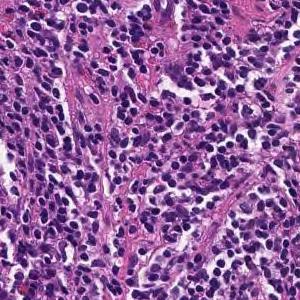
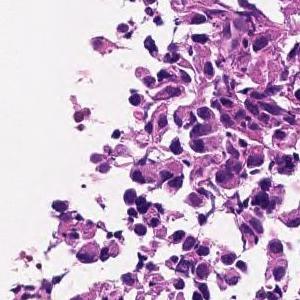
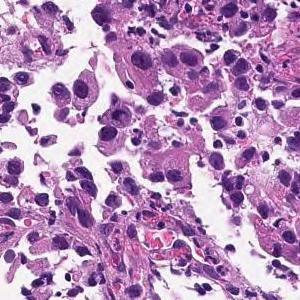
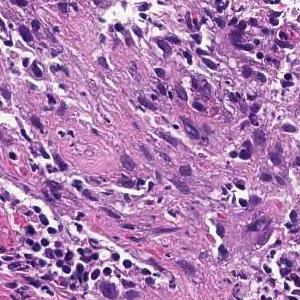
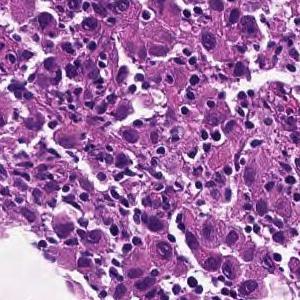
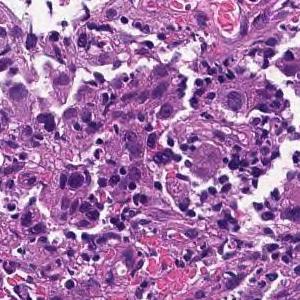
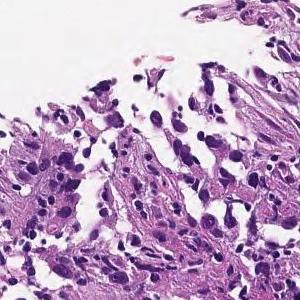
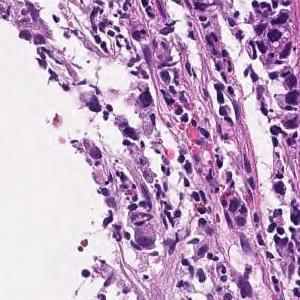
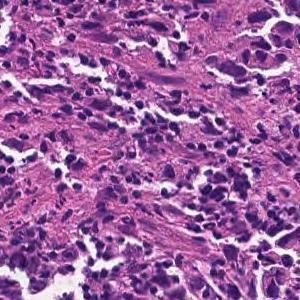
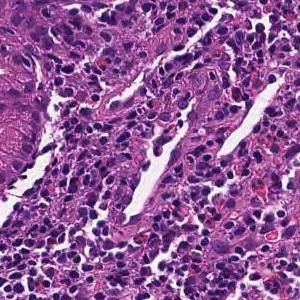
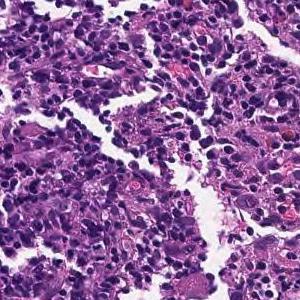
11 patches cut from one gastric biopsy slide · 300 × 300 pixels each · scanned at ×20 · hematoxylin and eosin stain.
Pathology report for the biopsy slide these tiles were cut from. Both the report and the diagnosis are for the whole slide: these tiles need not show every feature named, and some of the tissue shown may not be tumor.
The superficial epithelium shows a large sheet-like shape, and some tumor tissue infiltrates with small irregular ducts. Poorly differentiated adenocarcinoma, solid-type (poorly differentiated adenocarcinoma, solid type)
Classified as poorly differentiated adenocarcinoma, solid type. This name comes from the Japanese Classification of Gastric Carcinoma; the WHO 2019 classification calls it tubular adenocarcinoma, poorly differentiated.
